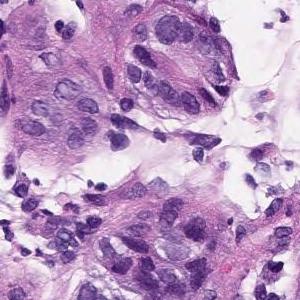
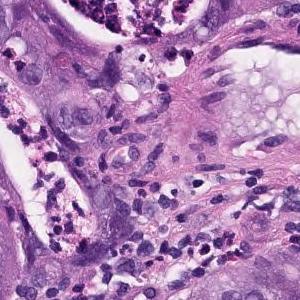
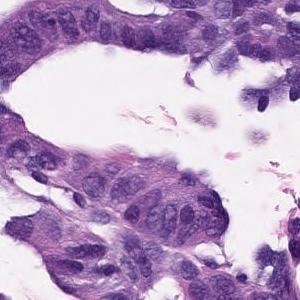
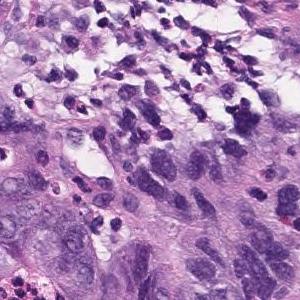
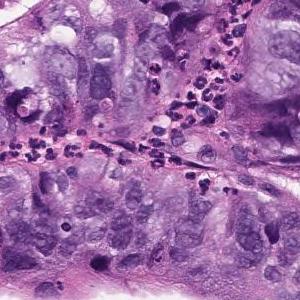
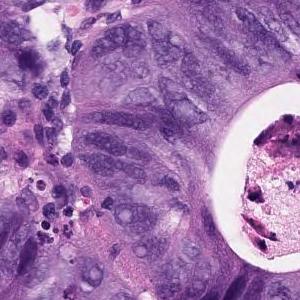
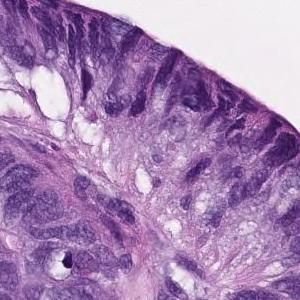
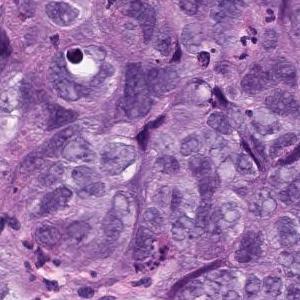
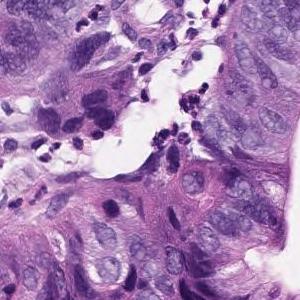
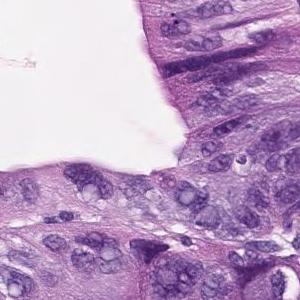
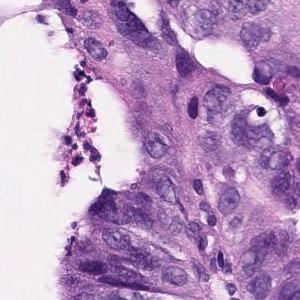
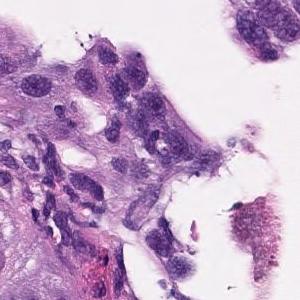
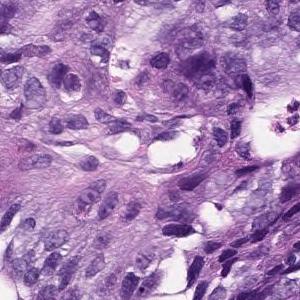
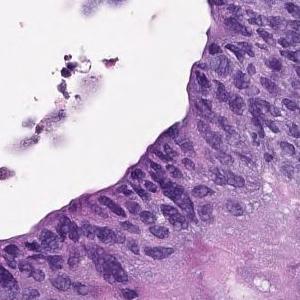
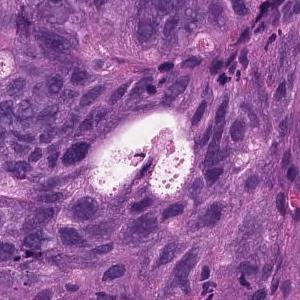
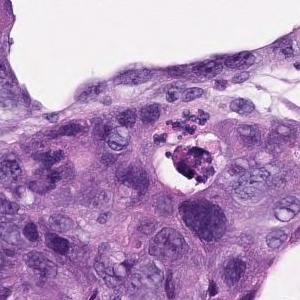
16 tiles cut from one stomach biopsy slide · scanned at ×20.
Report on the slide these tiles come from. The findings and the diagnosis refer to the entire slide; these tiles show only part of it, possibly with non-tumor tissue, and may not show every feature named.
In the superficial epithelium, tumor tissue that invades by forming medium-sized to small, irregular ducts is observed. Moderately differentiated adenocarcinoma.
Histologic type: Moderately differentiated tubular adenocarcinoma.
